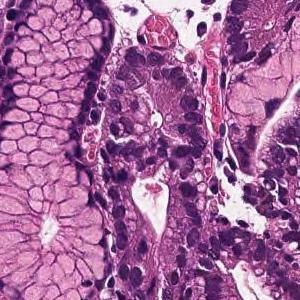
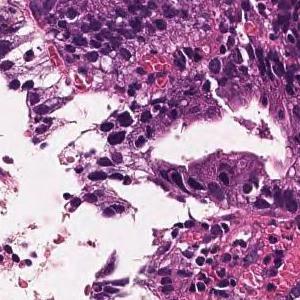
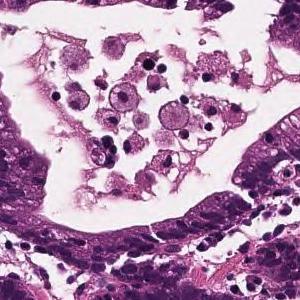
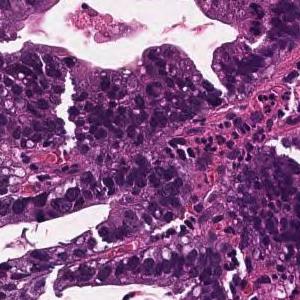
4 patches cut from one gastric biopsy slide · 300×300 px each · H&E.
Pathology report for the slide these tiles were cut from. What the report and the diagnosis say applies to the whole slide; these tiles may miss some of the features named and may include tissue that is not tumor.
From the superficial epithelium to the muscularis mucosae, tumor tissue consisting of medium-sized and irregular glandular ducts infiltrating is observed. Well differentiated tubular adenocarcinoma
